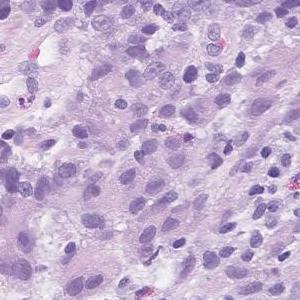
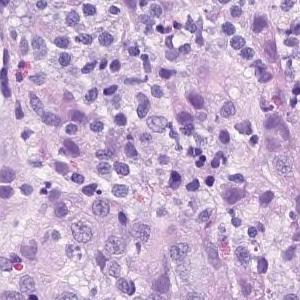
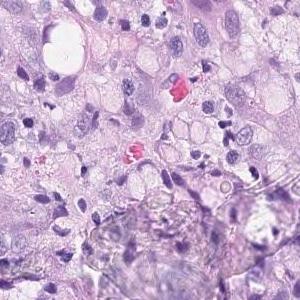
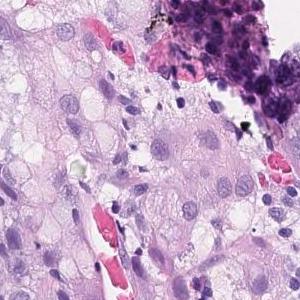
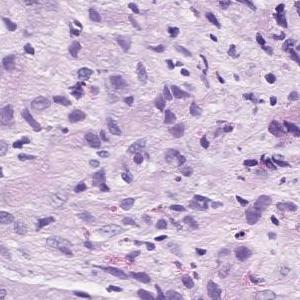
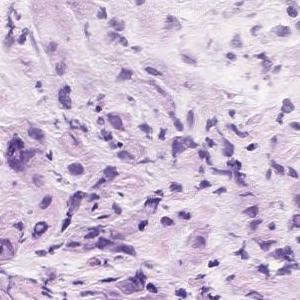
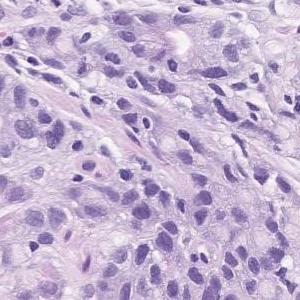
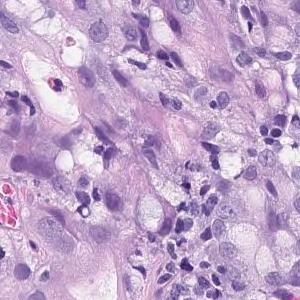
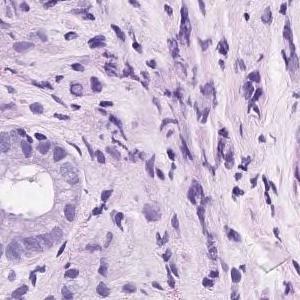
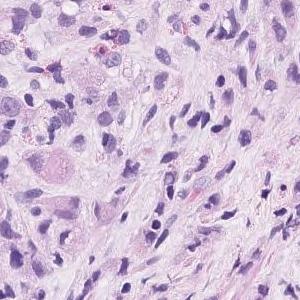
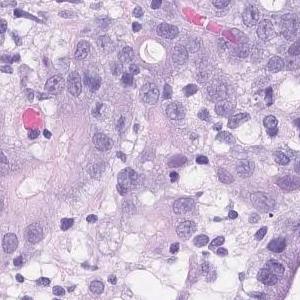
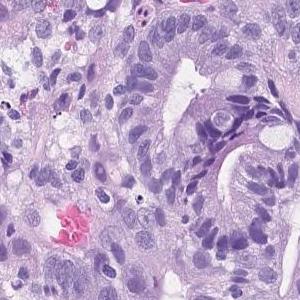
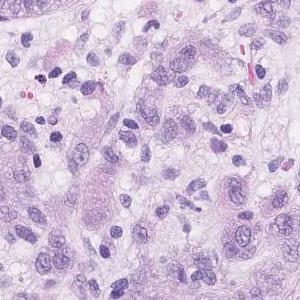
Scanned at ×20; 13 patches cut from one gastric biopsy slide; each 300 × 300 pixels.
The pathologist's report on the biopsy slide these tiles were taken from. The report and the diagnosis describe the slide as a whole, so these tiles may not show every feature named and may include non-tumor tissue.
Group 5, Adenocarcinoma. Poorly differentiated adenocarcinoma, non-solid type
"Non-solid type" is a category of the Japanese Classification of Gastric Carcinoma.
